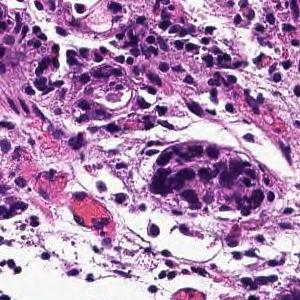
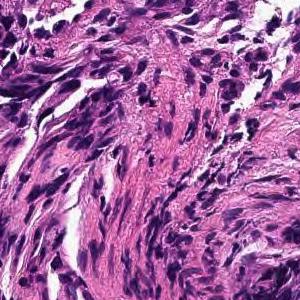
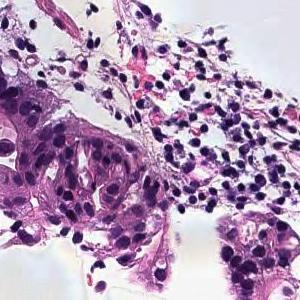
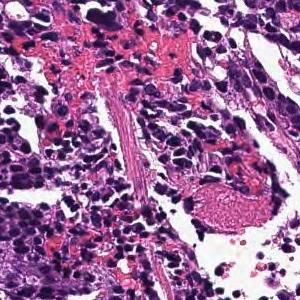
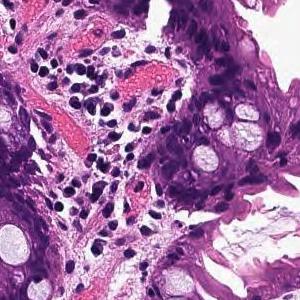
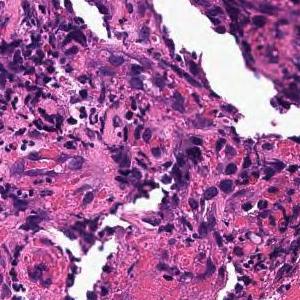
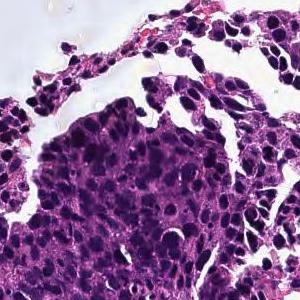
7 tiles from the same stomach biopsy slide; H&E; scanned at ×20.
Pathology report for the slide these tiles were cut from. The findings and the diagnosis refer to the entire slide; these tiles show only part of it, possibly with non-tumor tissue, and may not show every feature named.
In the superficial epithelium, tumor tissue that invades by forming medium-sized to small, irregular ducts is observed. moderately differentiated tubular adenocarcinoma.
